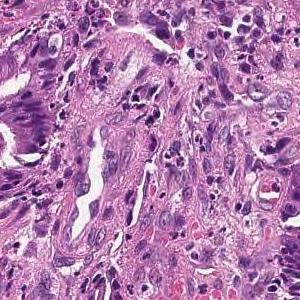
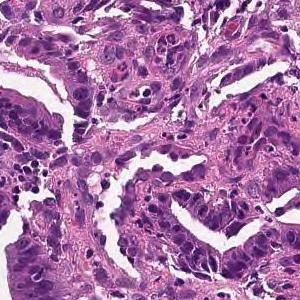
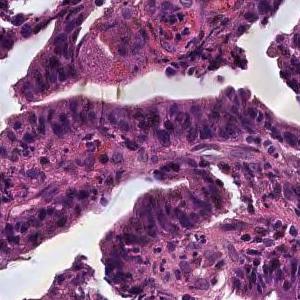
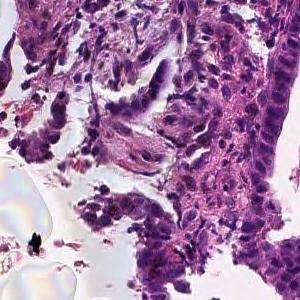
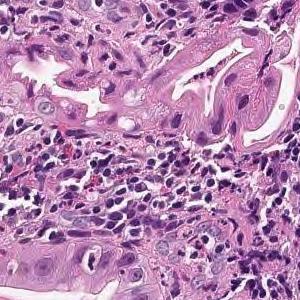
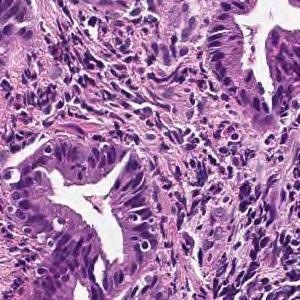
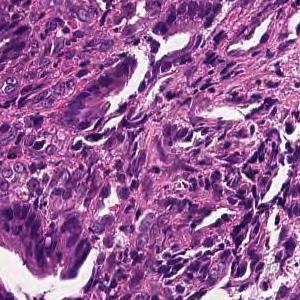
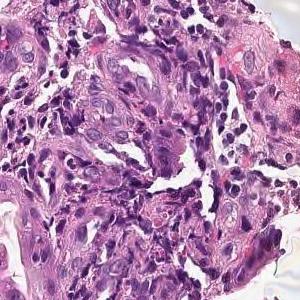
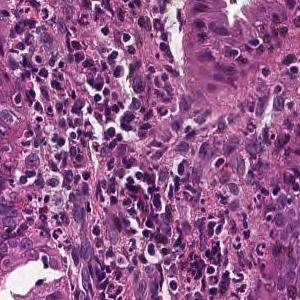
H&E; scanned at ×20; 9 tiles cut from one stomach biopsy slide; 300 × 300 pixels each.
Pathology report for the biopsy slide these tiles were cut from. The report and the diagnosis describe the slide as a whole, so these tiles may not show every feature named and may include non-tumor tissue.
From the superficial epithelium to the muscularis mucosae, tumor tissue consisting of medium-sized and irregular glandular ducts infiltrating is observed. Well differentiated tubular adenocarcinoma
